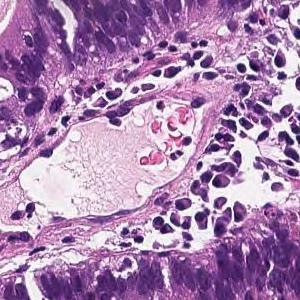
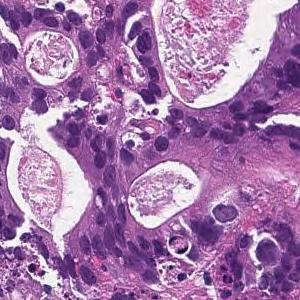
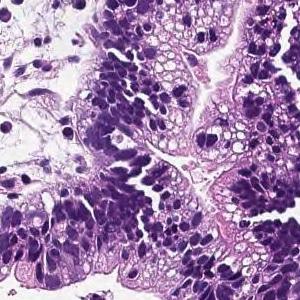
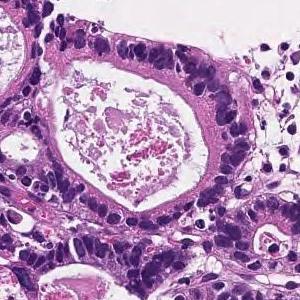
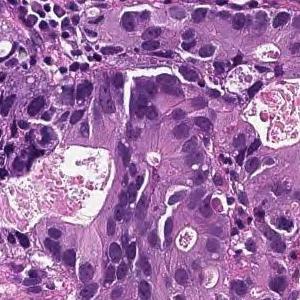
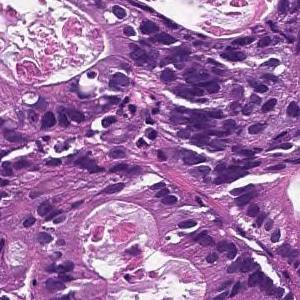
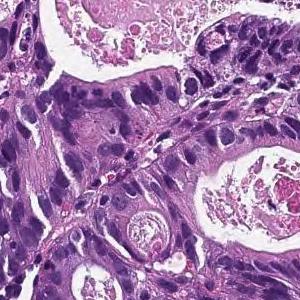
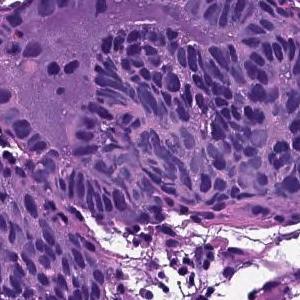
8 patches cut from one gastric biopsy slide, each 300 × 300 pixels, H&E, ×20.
Report on the slide these tiles come from. Both the report and the diagnosis are for the whole slide: these tiles need not show every feature named, and some of the tissue shown may not be tumor.
In the superficial epithelium, tumor tissue that invades by forming medium-sized to small, irregular ducts is observed. moderately differentiated tubular adenocarcinoma.
